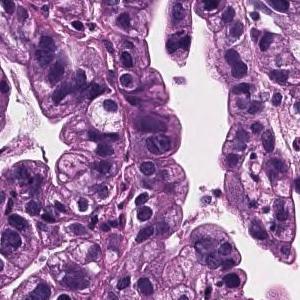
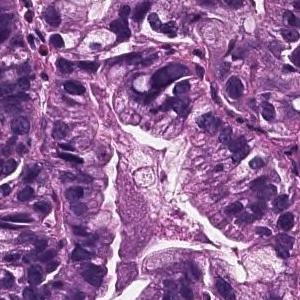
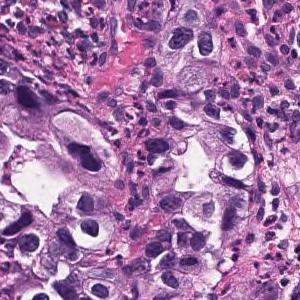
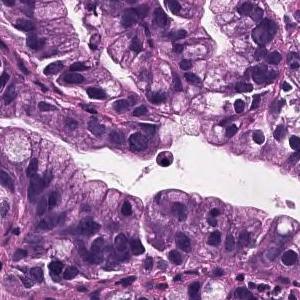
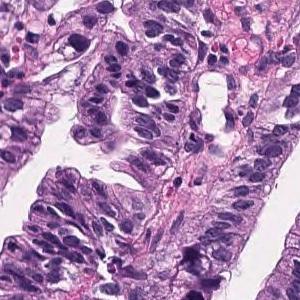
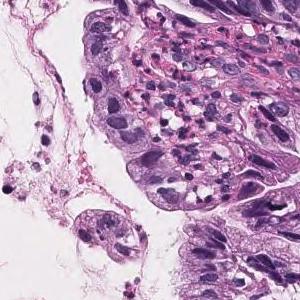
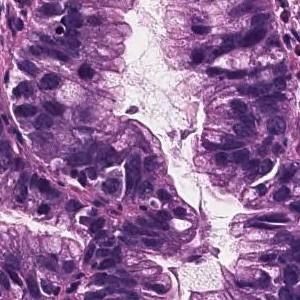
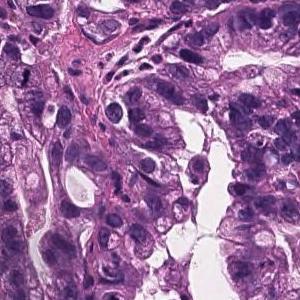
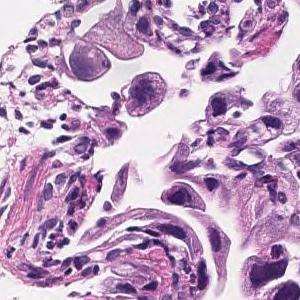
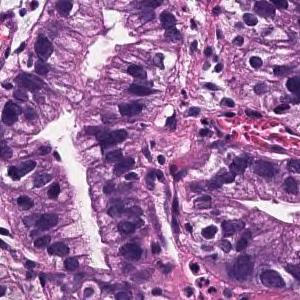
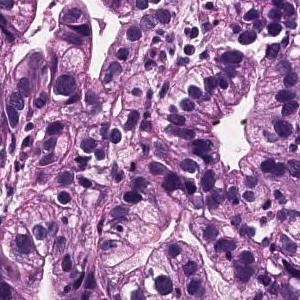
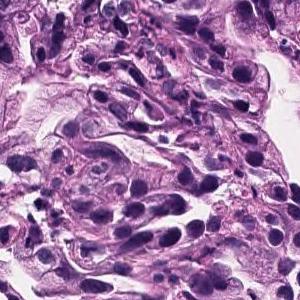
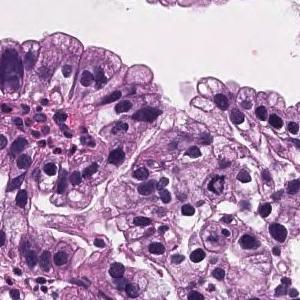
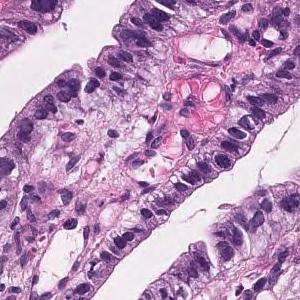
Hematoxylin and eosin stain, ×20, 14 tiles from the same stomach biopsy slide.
Report on the slide these tiles come from. What the report and the diagnosis say applies to the whole slide; these tiles may miss some of the features named and may include tissue that is not tumor.
Tumor cells are large, highly columnar, large club-shaped nuclei, and are associated with chromatin aggregation. Papillary adenocarcinoma.
